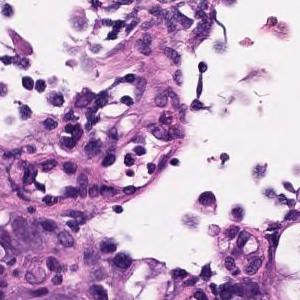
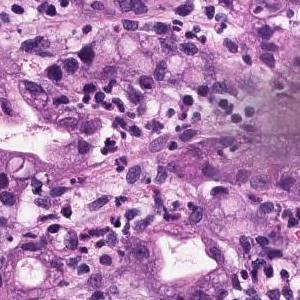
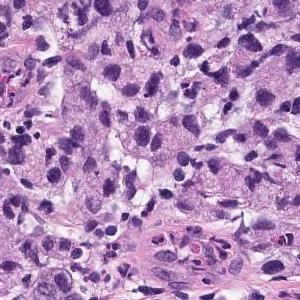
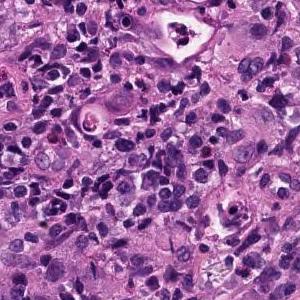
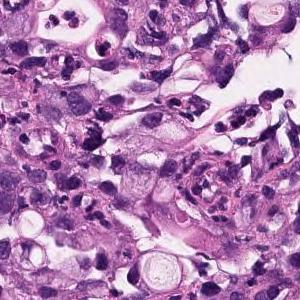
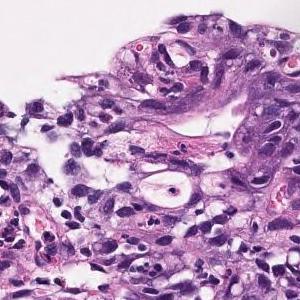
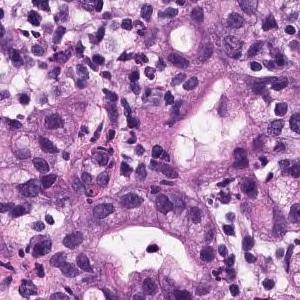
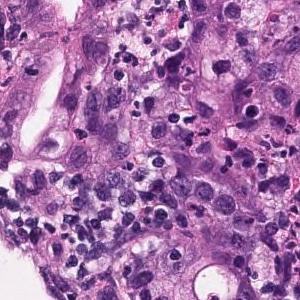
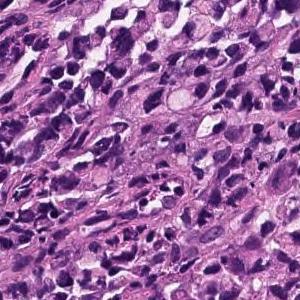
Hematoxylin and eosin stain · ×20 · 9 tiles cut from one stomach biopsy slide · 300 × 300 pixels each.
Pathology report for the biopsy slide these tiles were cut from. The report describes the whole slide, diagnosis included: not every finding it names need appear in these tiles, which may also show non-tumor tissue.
Atypical epithelium forms irregularly fused gland ducts and proliferates. Poorly differentiated adenocarcinoma.
Histologic type: Poorly differentiated adenocarcinoma, non-solid type.
The non-solid type named here is a Japanese Classification of Gastric Carcinoma category.
